Hematoxylin and eosin stain, 9 tiles from the same stomach biopsy slide, 300 × 300 pixels each.
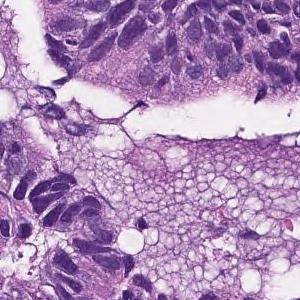
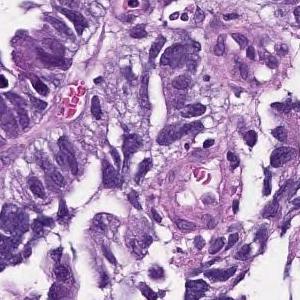
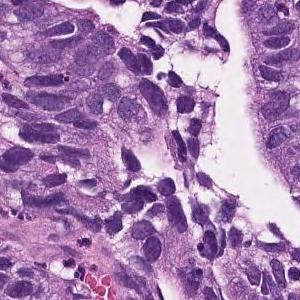
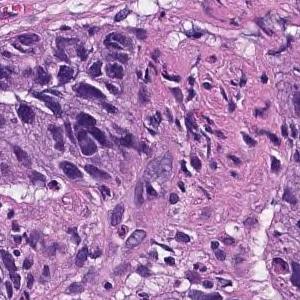
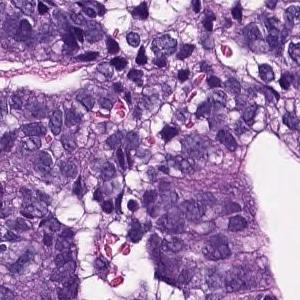
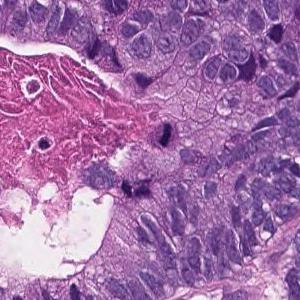
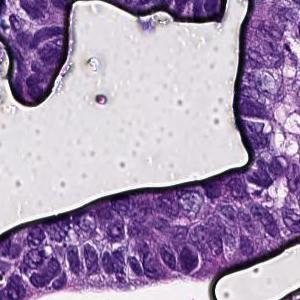
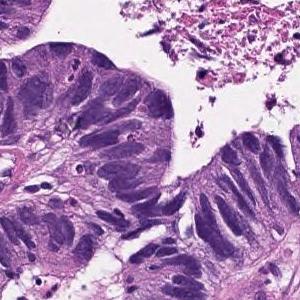
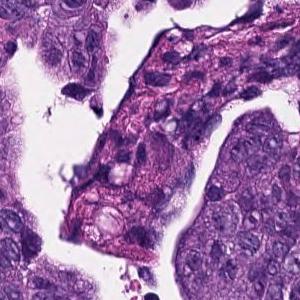
Report on the slide these tiles come from. What the report and the diagnosis say applies to the whole slide; these tiles may miss some of the features named and may include tissue that is not tumor.
In the superficial epithelium, tumor tissue that invades by forming medium-sized to small, irregular ducts is observed. moderately differentiated tubular adenocarcinoma.
